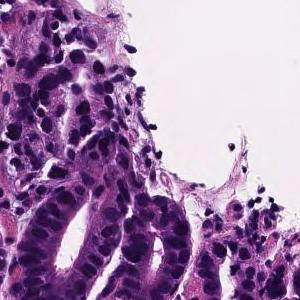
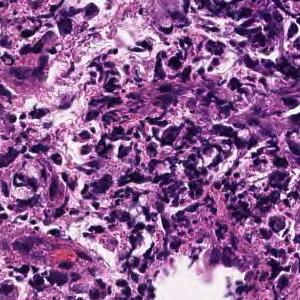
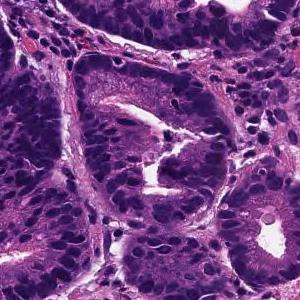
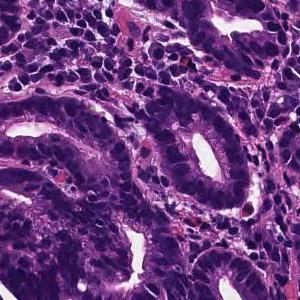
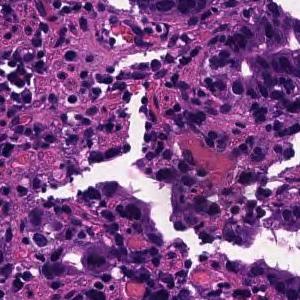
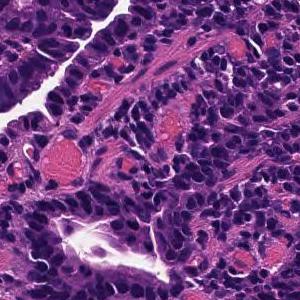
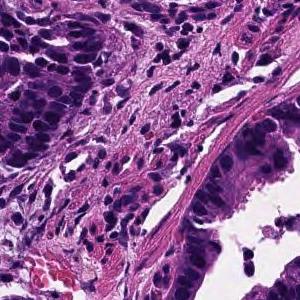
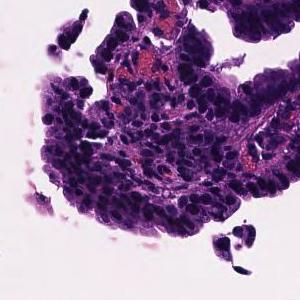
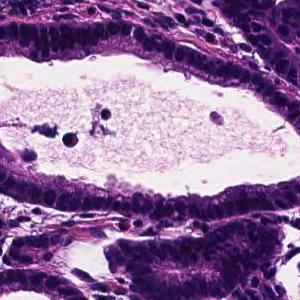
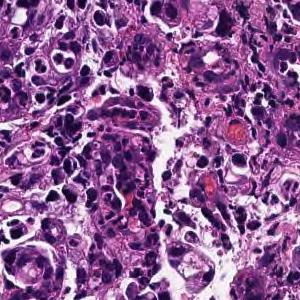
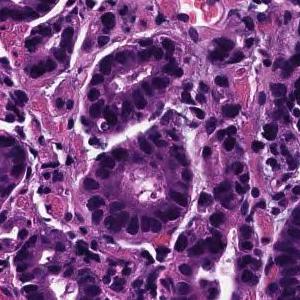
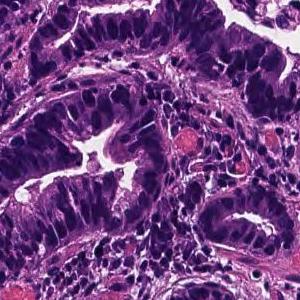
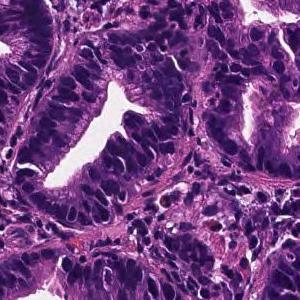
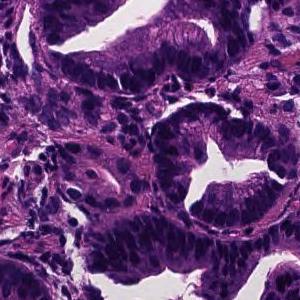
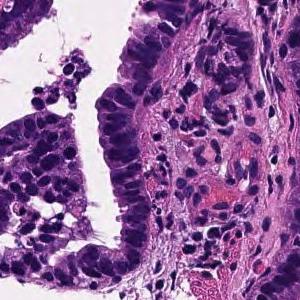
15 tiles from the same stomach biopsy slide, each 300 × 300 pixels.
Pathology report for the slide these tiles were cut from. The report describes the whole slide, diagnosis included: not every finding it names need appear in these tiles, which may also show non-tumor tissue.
On the superficial epithelium, tumor tissue that infiltrates by forming medium-sized papillary or small irregular ducts is observed. Papillary adenocarcinoma
